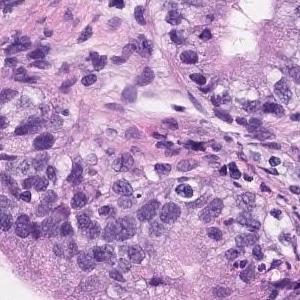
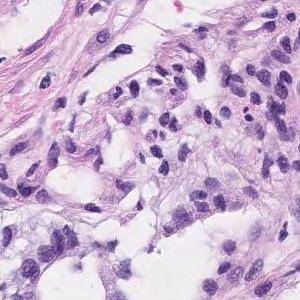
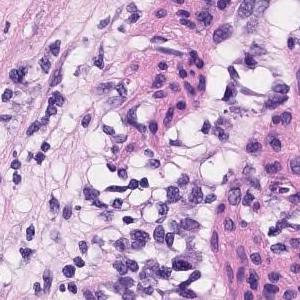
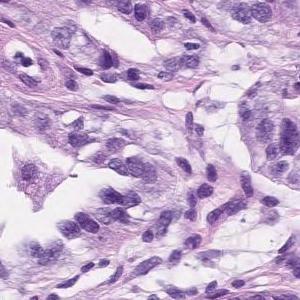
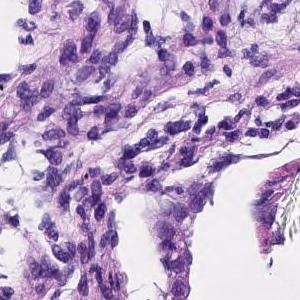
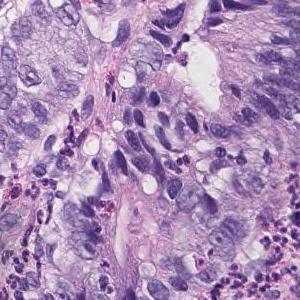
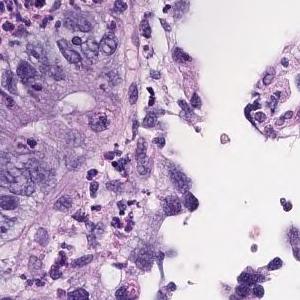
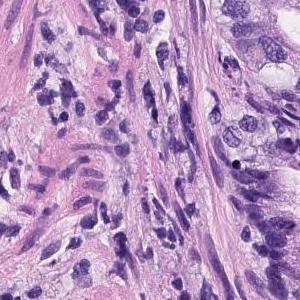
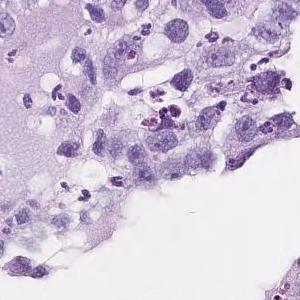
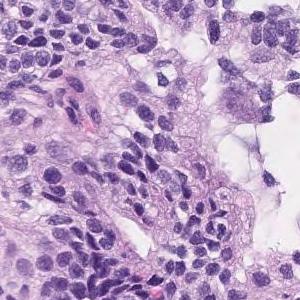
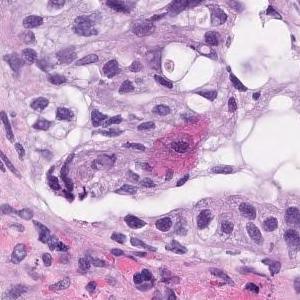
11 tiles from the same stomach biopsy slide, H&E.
Pathology report for the slide these tiles were cut from. The findings and the diagnosis refer to the entire slide; these tiles show only part of it, possibly with non-tumor tissue, and may not show every feature named.
Tumor cells are large, highly columnar, large club-shaped nuclei, and are associated with chromatin aggregation. Papillary adenocarcinoma.
